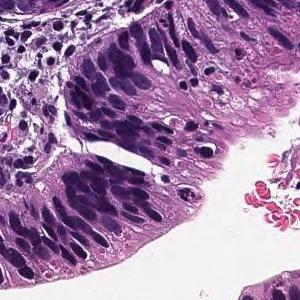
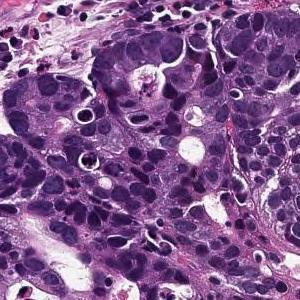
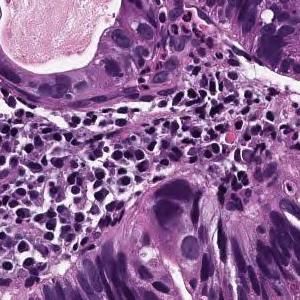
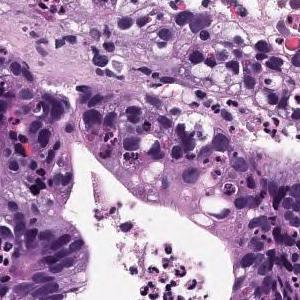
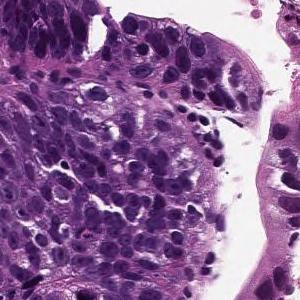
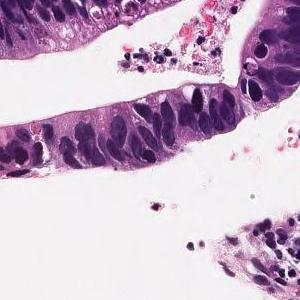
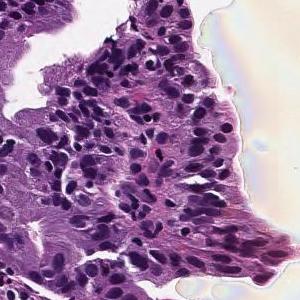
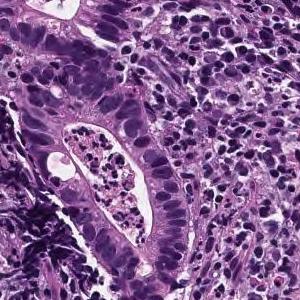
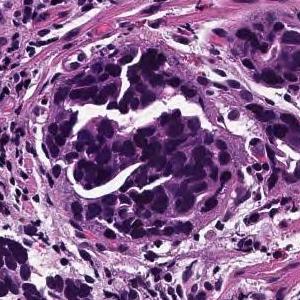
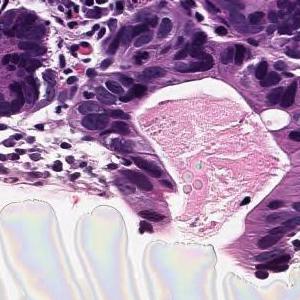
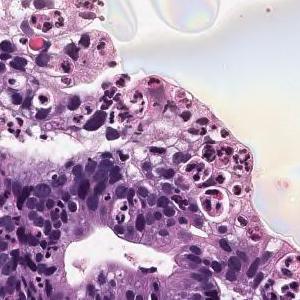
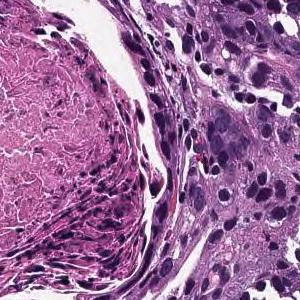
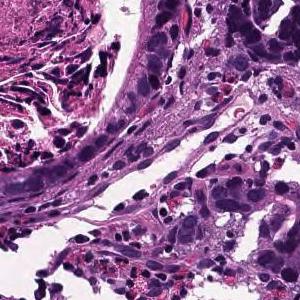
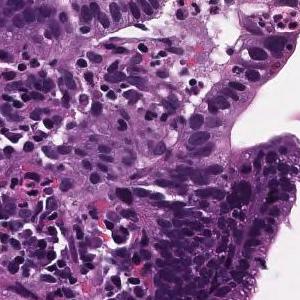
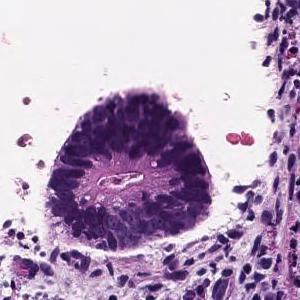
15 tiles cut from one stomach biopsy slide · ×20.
The pathologist's report on the biopsy slide these tiles were taken from. The report and the diagnosis describe the slide as a whole, so these tiles may not show every feature named and may include non-tumor tissue.
From the superficial epithelium to the muscularis mucosae, tumor tissue consisting of medium-sized and irregular glandular ducts infiltrating is observed. Well differentiated tubular adenocarcinoma
